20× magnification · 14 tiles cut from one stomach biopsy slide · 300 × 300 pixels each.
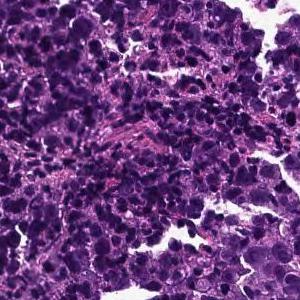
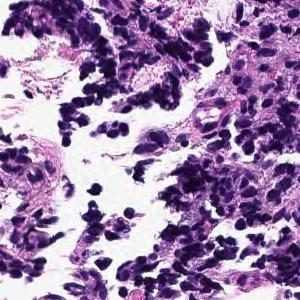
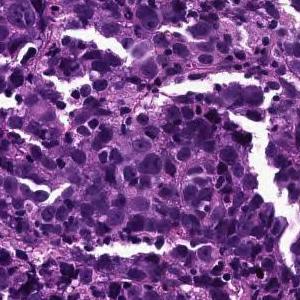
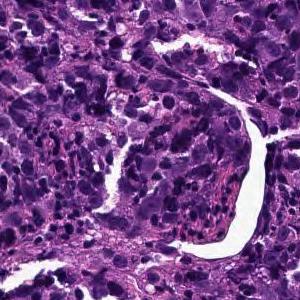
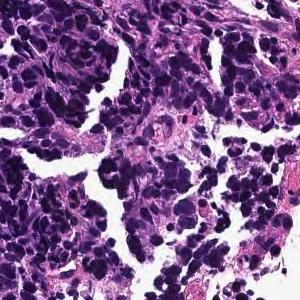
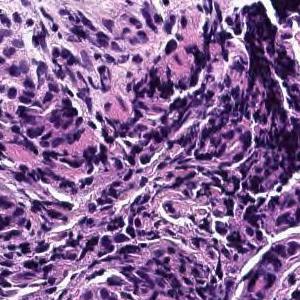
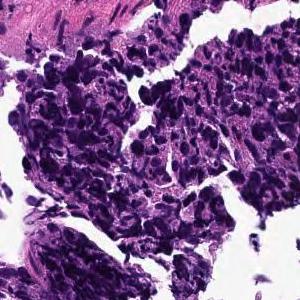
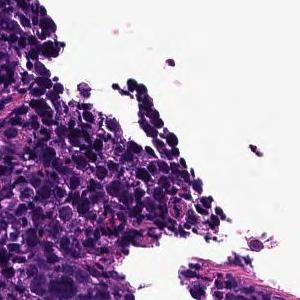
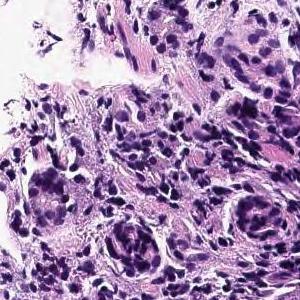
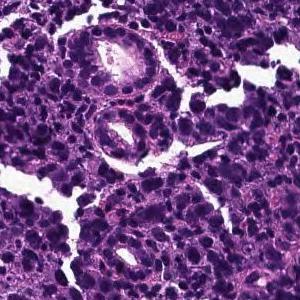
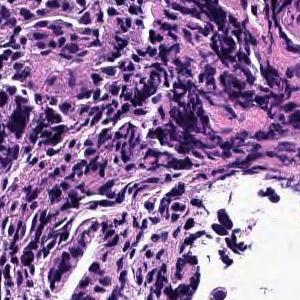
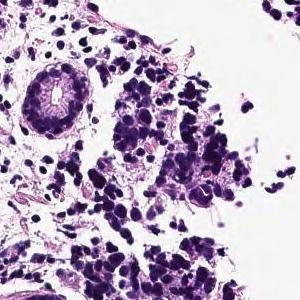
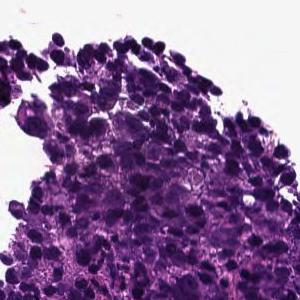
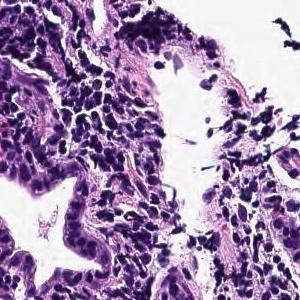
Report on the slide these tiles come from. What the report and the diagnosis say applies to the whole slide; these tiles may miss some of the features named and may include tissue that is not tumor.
The superficial epithelium shows large alveolar or sheet-like forms, and some tumor tissue infiltrates with small irregular ducts. Poorly differentiated adenocarcinoma, solid-type
Histological subtype: Poorly differentiated adenocarcinoma, solid type. This name comes from the Japanese Classification of Gastric Carcinoma; the WHO 2019 classification calls it tubular adenocarcinoma, poorly differentiated.
